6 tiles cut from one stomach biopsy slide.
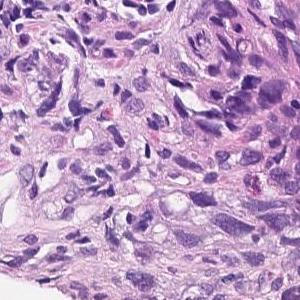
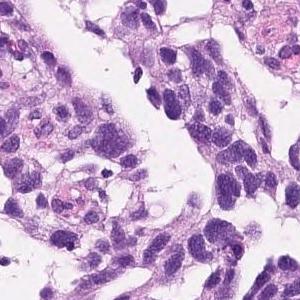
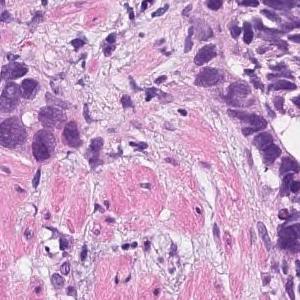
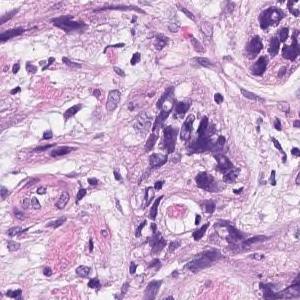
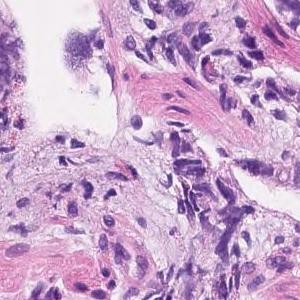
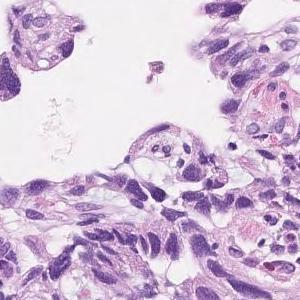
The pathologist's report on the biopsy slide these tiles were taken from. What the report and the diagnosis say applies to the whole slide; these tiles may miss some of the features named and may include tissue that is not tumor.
In the superficial epithelium, tumor tissue that invades by forming medium-sized to small, irregular ducts is observed. Moderately differentiated adenocarcinoma.
Tumor subtype: moderately differentiated tubular adenocarcinoma.
